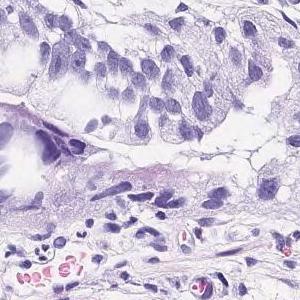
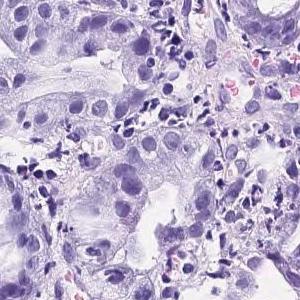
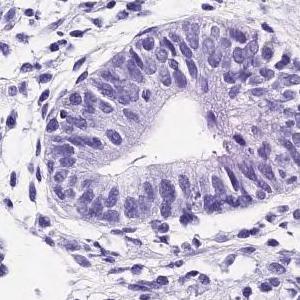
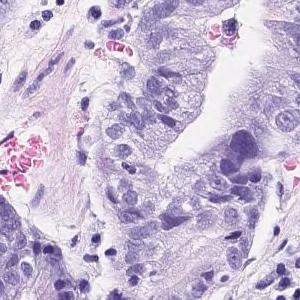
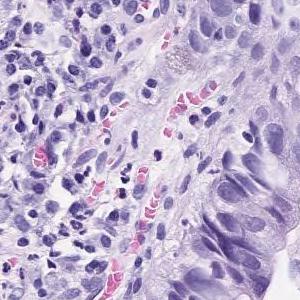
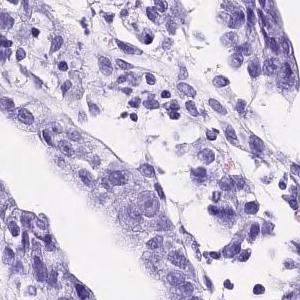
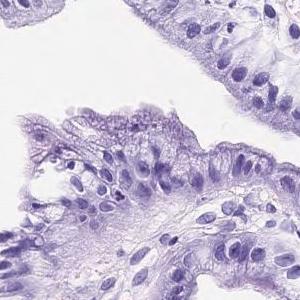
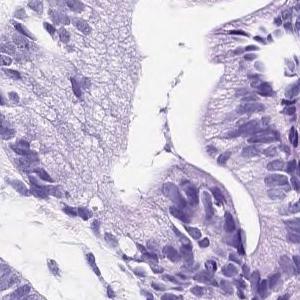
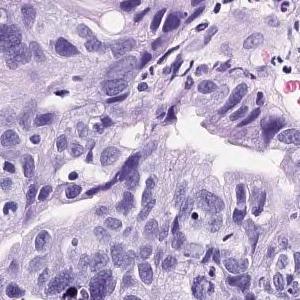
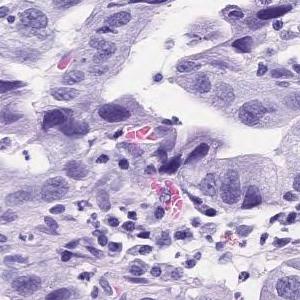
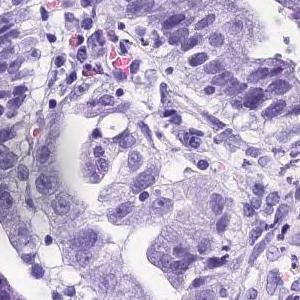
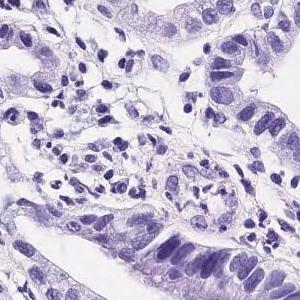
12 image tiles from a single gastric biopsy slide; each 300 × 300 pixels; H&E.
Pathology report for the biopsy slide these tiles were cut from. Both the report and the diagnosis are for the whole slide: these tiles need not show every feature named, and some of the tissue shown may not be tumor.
Tumor tissue consisting of medium-sized and irregular ducts is observed infiltrating in the superficial epithelium. Tumor cells are highly columnar, with nuclei aligned basolaterally and polarized. Well differentiated tubular adenocarcinoma.
